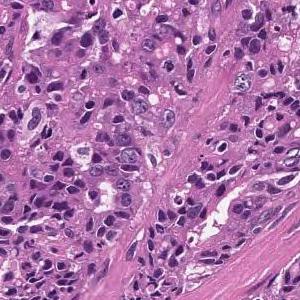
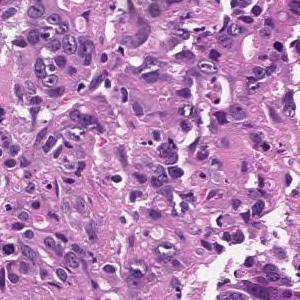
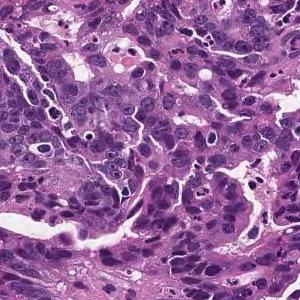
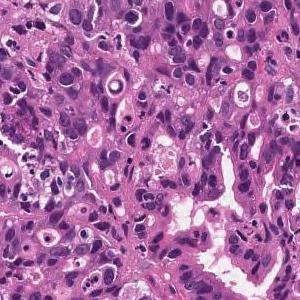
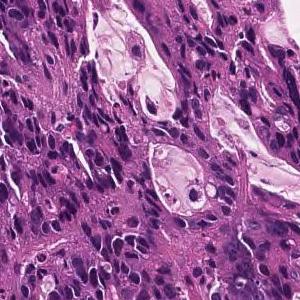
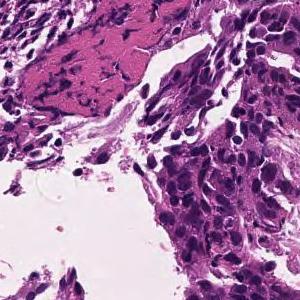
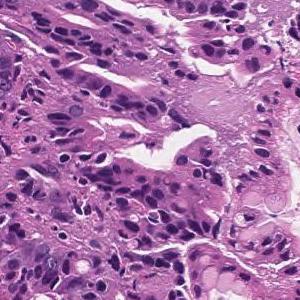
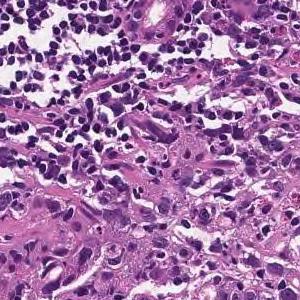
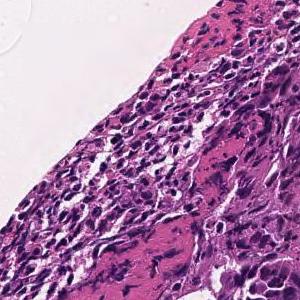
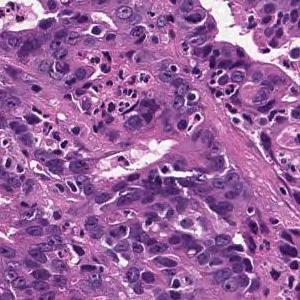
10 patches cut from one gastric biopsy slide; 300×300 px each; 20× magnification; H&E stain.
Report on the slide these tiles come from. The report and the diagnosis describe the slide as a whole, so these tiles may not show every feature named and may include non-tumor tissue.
In the superficial epithelium, tumor tissue that invades by forming medium-sized to small, irregular ducts is observed. moderately differentiated tubular adenocarcinoma.
